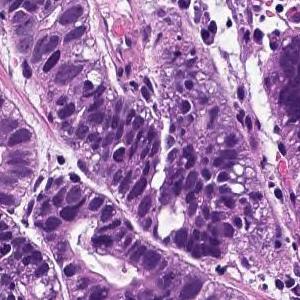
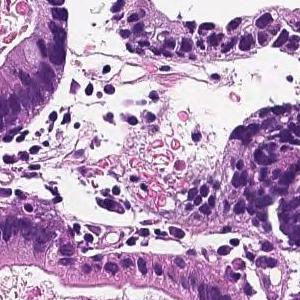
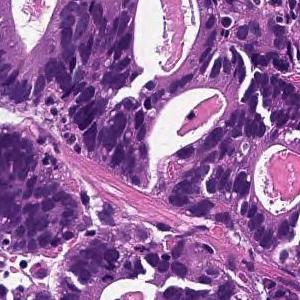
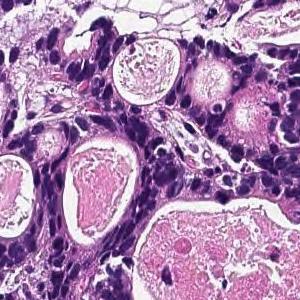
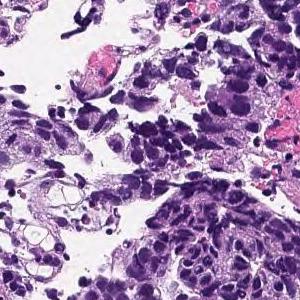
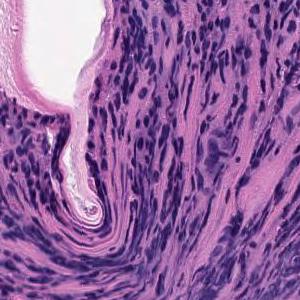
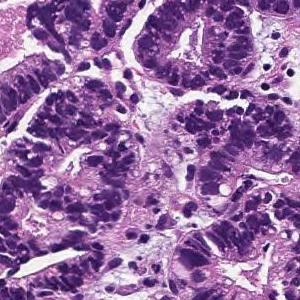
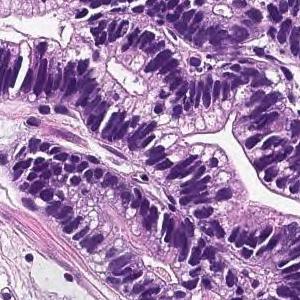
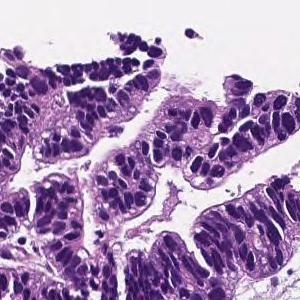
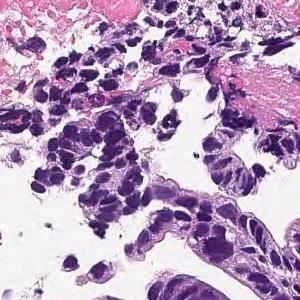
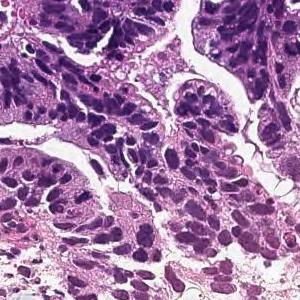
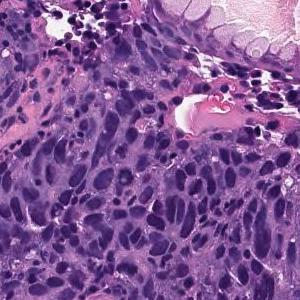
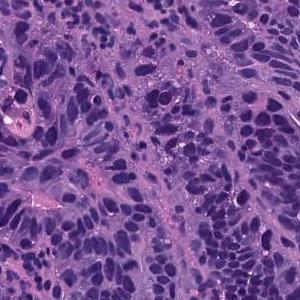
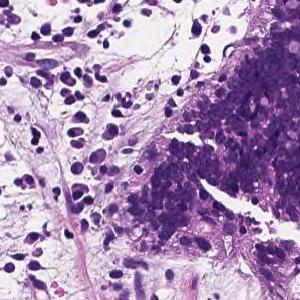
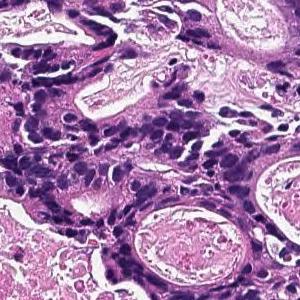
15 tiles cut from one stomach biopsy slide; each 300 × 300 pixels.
Pathology report for the biopsy slide these tiles were cut from. What the report and the diagnosis say applies to the whole slide; these tiles may miss some of the features named and may include tissue that is not tumor.
In the superficial epithelium, tumor tissue that invades by forming medium-sized to small, irregular ducts is observed. moderately differentiated tubular adenocarcinoma.
